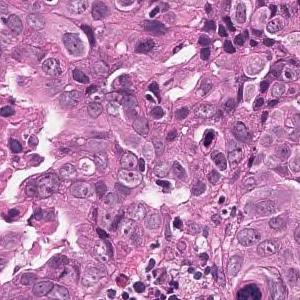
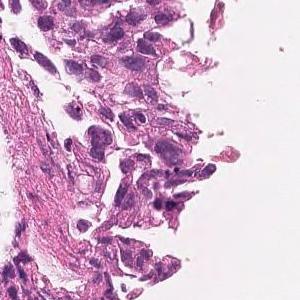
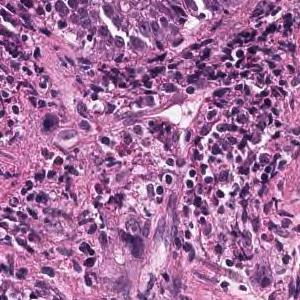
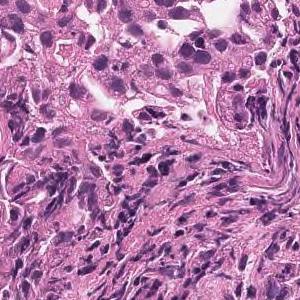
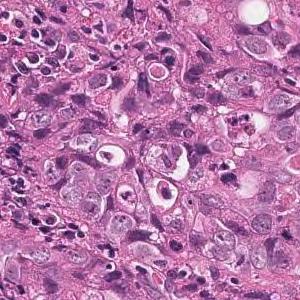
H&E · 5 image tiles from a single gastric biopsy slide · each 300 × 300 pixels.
Pathology report for the slide these tiles were cut from. What the report and the diagnosis say applies to the whole slide; these tiles may miss some of the features named and may include tissue that is not tumor.
Tumor tissue that infiltrates and proliferates with alveolar or cord-like structures with small glandular cavities in the superficial to submucosal layers is observed. moderately differentiated tubular adenocarcinoma
